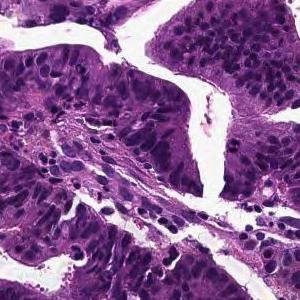
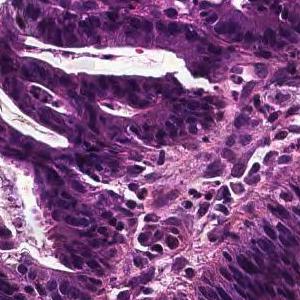
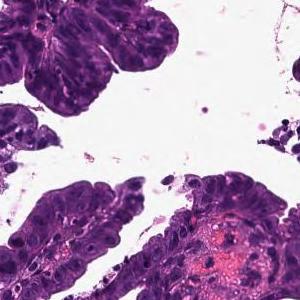
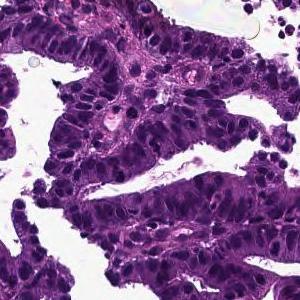
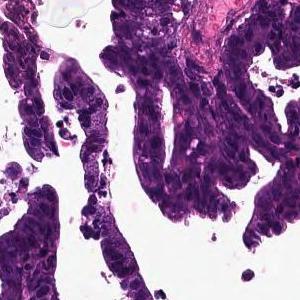
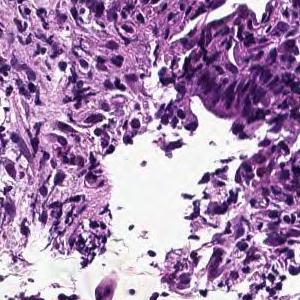
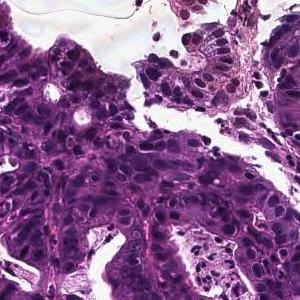
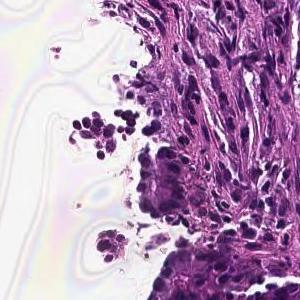
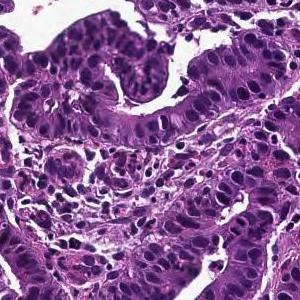
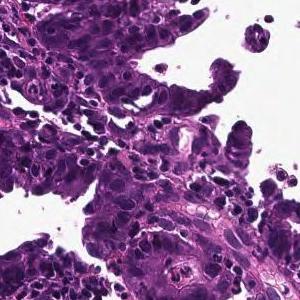
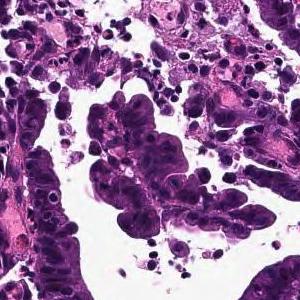
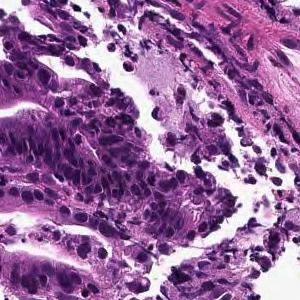
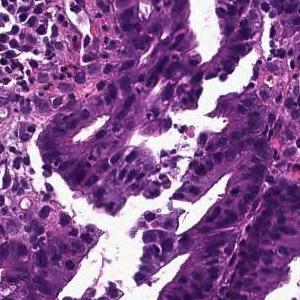
Scanned at ×20; 13 tiles from the same stomach biopsy slide; 300×300 px each.
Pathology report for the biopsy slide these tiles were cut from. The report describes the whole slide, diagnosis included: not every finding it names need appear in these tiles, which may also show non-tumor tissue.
Tumor cells are large, highly columnar, large club-shaped nuclei, and are associated with chromatin aggregation. Papillary adenocarcinoma.
